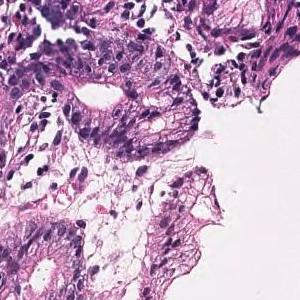
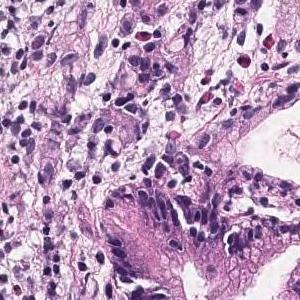
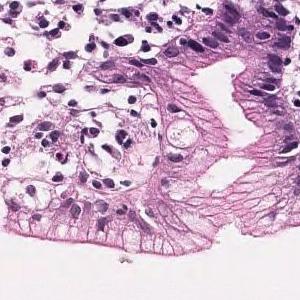
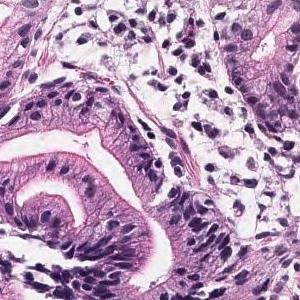
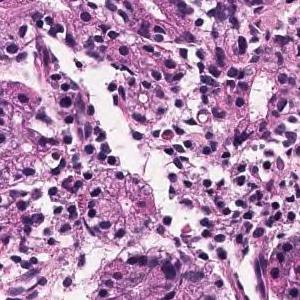
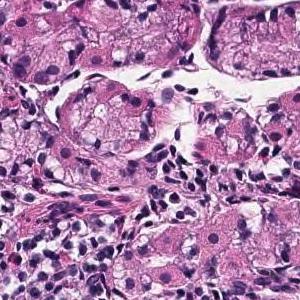
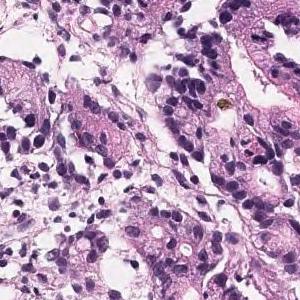
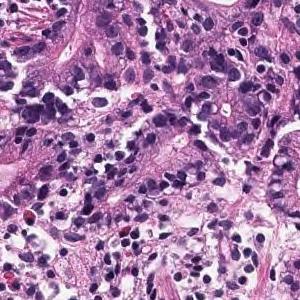
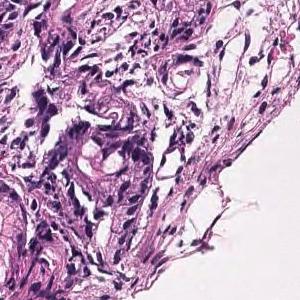
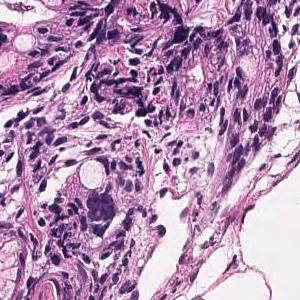
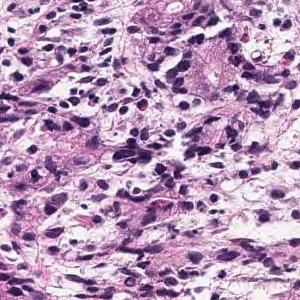
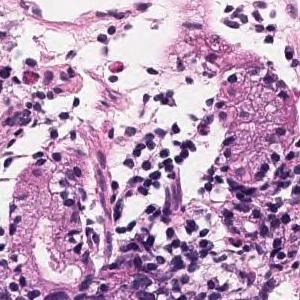
Scanned at ×20 · H&E stain · 12 tiles cut from one stomach biopsy slide.
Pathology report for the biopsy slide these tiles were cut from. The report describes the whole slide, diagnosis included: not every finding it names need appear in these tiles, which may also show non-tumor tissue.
Tumor tissue that grows and grows is observed, showing a medium-sized round or irregular duct. moderately differentiated tubular adenocarcinoma
